4 patches cut from one gastric biopsy slide; 300 × 300 pixels each; scanned at ×20; H&E stain.
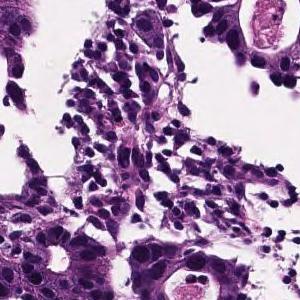
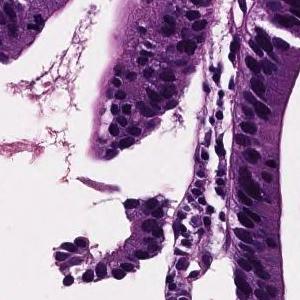
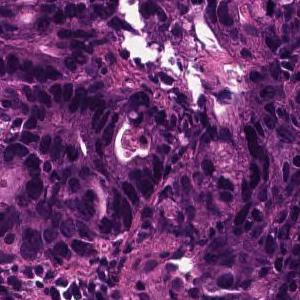
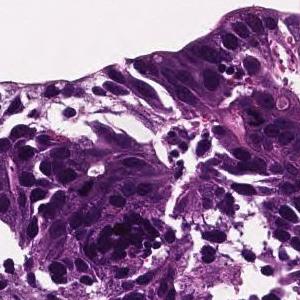
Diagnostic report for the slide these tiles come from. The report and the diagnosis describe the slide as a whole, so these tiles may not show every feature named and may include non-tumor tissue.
In the superficial epithelium, tumor tissue that invades by forming medium-sized to small, irregular ducts is observed. moderately differentiated tubular adenocarcinoma.
